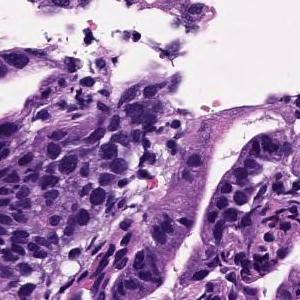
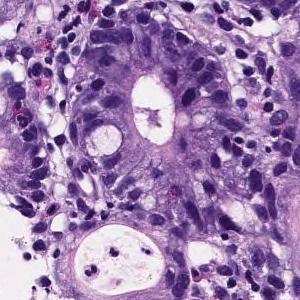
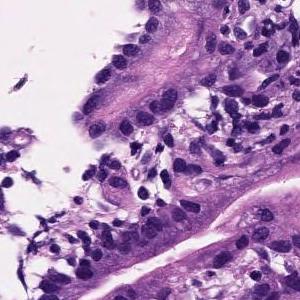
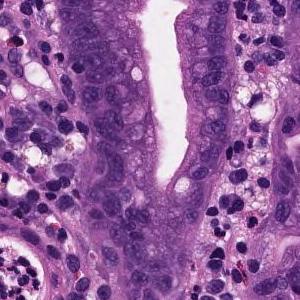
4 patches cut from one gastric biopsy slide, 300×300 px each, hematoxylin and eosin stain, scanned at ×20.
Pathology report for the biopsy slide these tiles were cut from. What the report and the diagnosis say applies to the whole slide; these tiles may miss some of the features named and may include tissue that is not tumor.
Medium to small, irregular glandular ducts are formed in the superficial epithelium, and in some cases, the glandular ducts are fused to show solid alveolar lesions and infiltrating tumor tissue is observed. Moderately to poorly differentiated adenocarcinoma.
